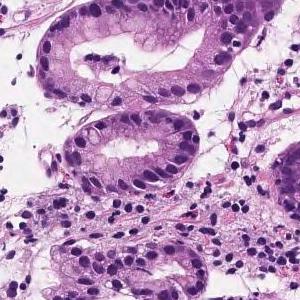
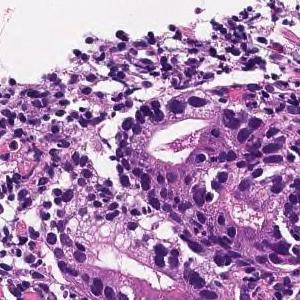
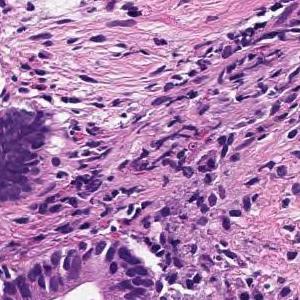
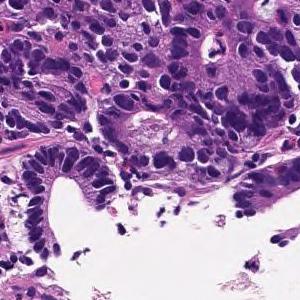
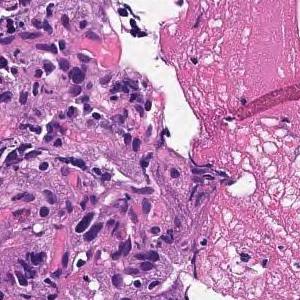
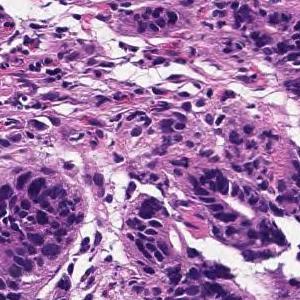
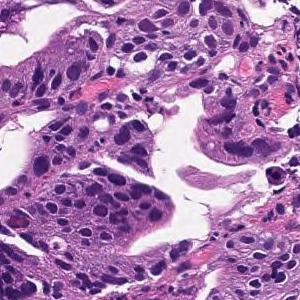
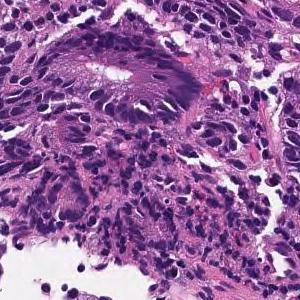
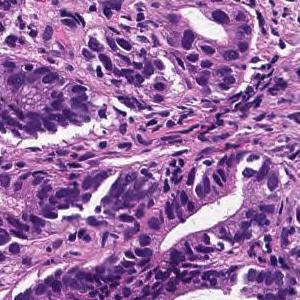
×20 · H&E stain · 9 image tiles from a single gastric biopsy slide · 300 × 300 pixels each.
Report on the slide these tiles come from. The report and the diagnosis describe the slide as a whole, so these tiles may not show every feature named and may include non-tumor tissue.
In the superficial epithelium, tumor tissue that invades by forming medium-sized to small, irregular ducts is observed. moderately differentiated tubular adenocarcinoma.
